Scanned at ×20 · H&E stain · 7 tiles from the same stomach biopsy slide · 300 × 300 pixels each.
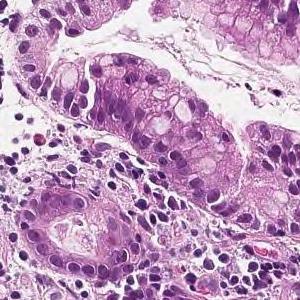
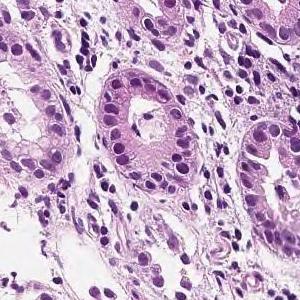
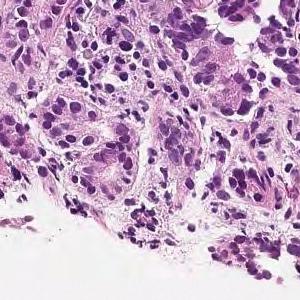
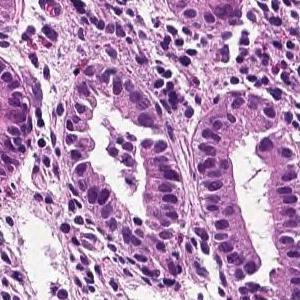
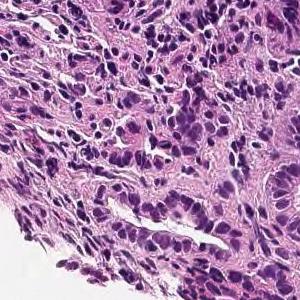
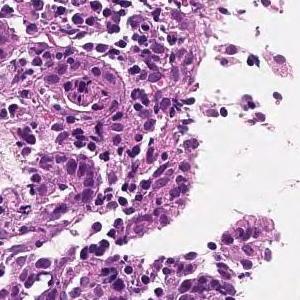
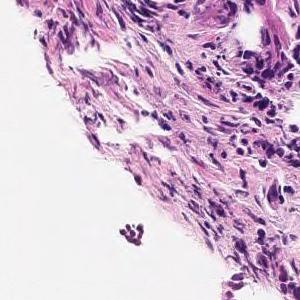
The pathologist's report on the biopsy slide these tiles were taken from. Both the report and the diagnosis are for the whole slide: these tiles need not show every feature named, and some of the tissue shown may not be tumor.
In the superficial epithelium, tumor tissue that invades by forming medium-sized to small, irregular ducts is observed. moderately differentiated tubular adenocarcinoma.
